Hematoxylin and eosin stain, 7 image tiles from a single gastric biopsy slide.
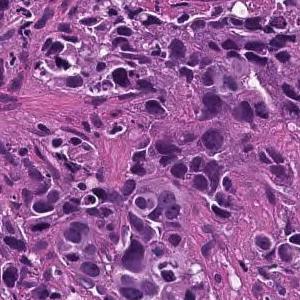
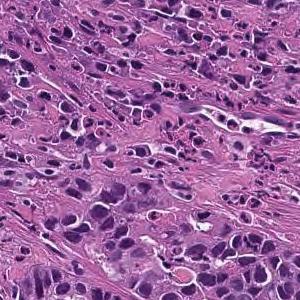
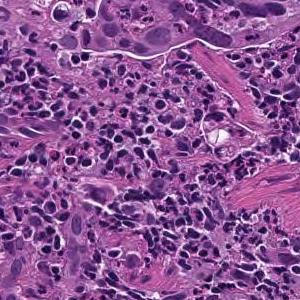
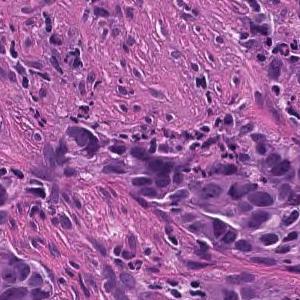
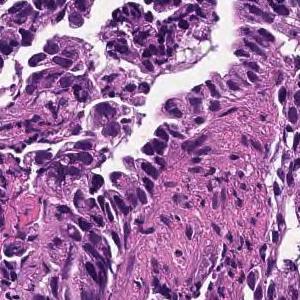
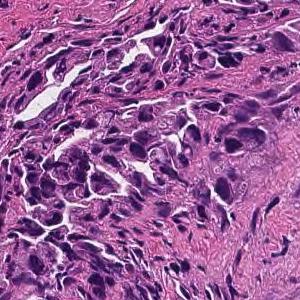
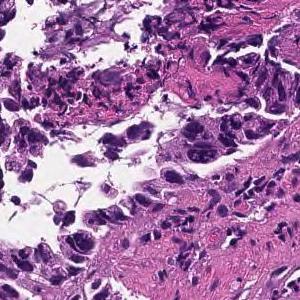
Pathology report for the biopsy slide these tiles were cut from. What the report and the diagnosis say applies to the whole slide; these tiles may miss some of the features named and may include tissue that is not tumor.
Tumor tissue consisting of medium-sized, cord-like or irregular glandular infiltration is observed in the superficial epithelium. Poorly differentiated adenocarcinoma, non-solid type or moderately differentiated tubular adenocarcinoma
Histological subtype: Moderately to poorly differentiated adenocarcinoma.
"Non-solid type" is a category of the Japanese Classification of Gastric Carcinoma.
